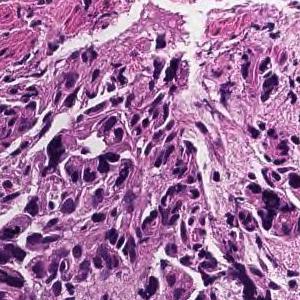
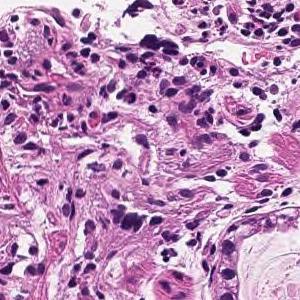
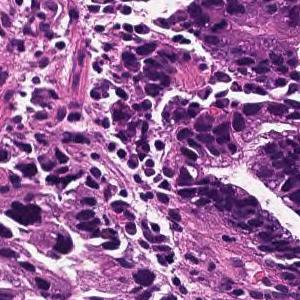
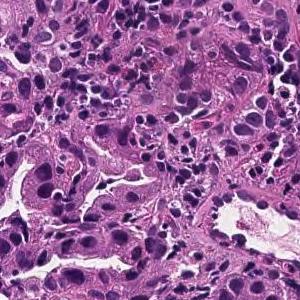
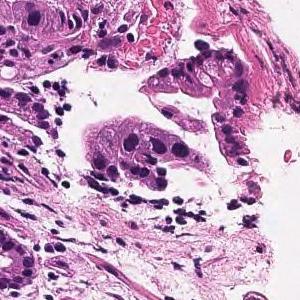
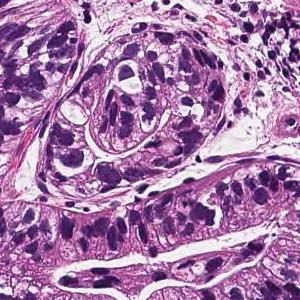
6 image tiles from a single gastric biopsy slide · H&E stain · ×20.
Pathology report for the slide these tiles were cut from. The report and the diagnosis cover the entire slide, so not every feature they name need be visible here, and some tissue shown may not be tumor.
On the superficial epithelium, tumor tissue is found in which medium-sized irregular gland ducts fuse with each other and infiltrate. moderately differentiated tubular adenocarcinoma or Poorly differentiated adenocarcinoma, non-solid type
Classified as moderately to poorly differentiated adenocarcinoma.
"Non-solid type" is a category of the Japanese Classification of Gastric Carcinoma.
